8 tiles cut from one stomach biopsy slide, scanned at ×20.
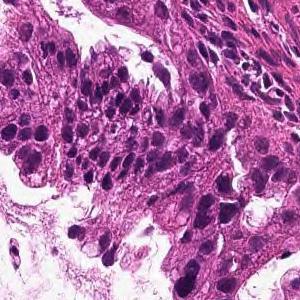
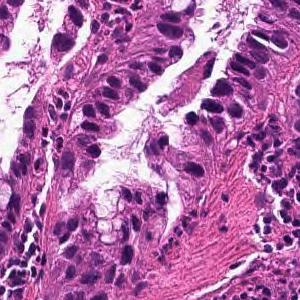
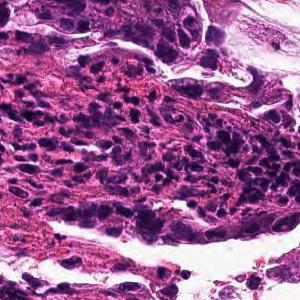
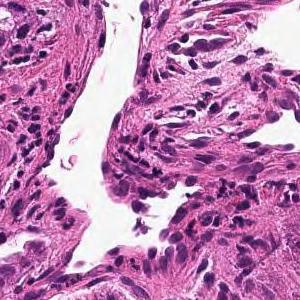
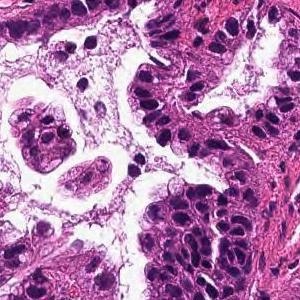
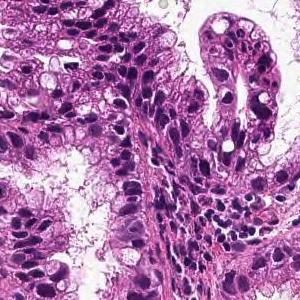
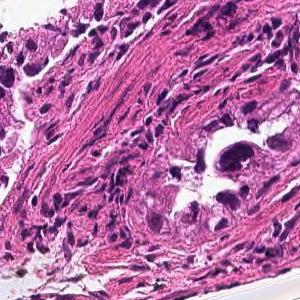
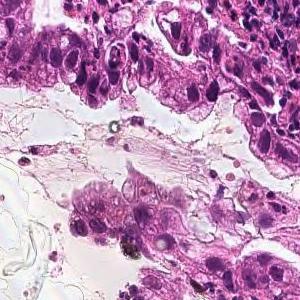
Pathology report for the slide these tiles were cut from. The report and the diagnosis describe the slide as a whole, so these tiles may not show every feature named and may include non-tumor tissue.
From the superficial epithelium to the muscularis mucosae, tumor tissue infiltrating by forming medium-sized irregular gland ducts is observed. Well differentiated tubular adenocarcinoma
